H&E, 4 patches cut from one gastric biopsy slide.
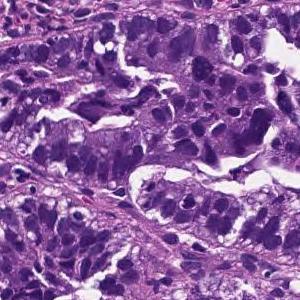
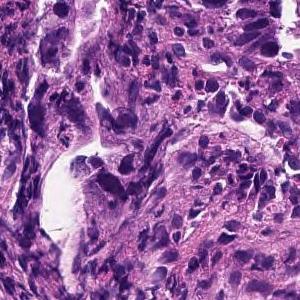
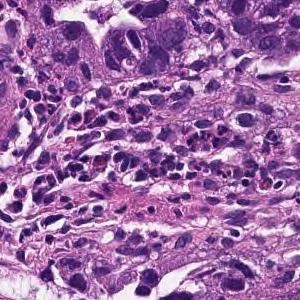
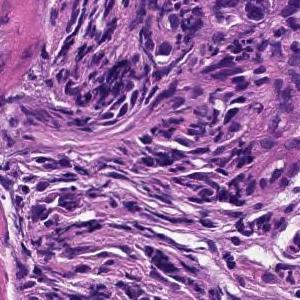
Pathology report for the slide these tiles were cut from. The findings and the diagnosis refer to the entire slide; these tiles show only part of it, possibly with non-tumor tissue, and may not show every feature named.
Tumor tissue consisting of large papillary structures is found in the superficial epithelium. Papillary adenocarcinoma.
